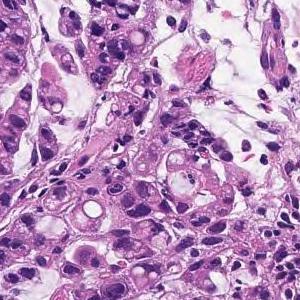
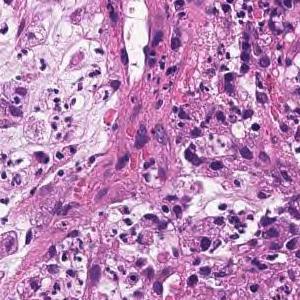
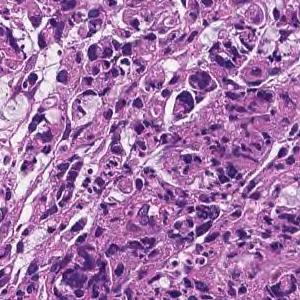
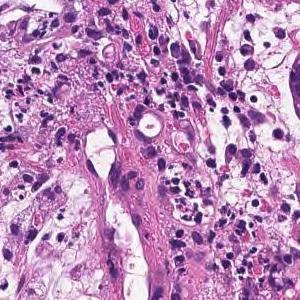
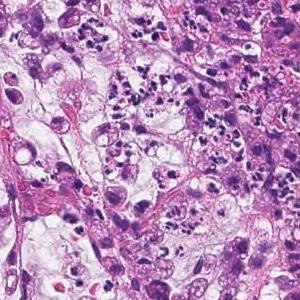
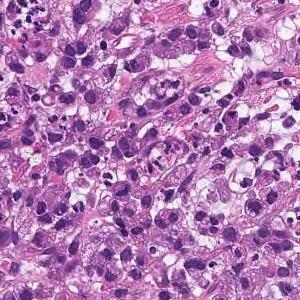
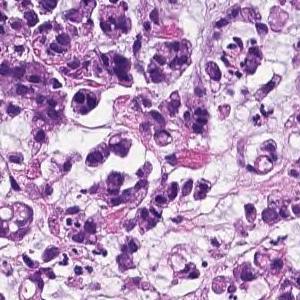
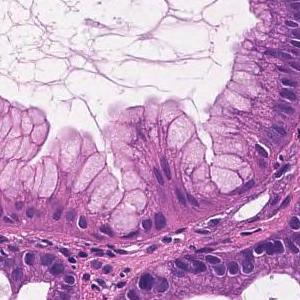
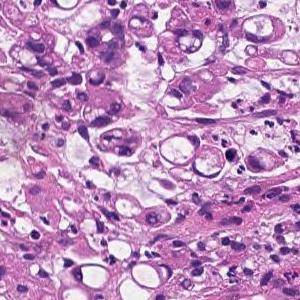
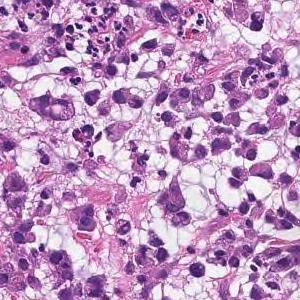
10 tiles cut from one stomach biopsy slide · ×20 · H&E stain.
The pathologist's report on the biopsy slide these tiles were taken from. The report and the diagnosis cover the entire slide, so not every feature they name need be visible here, and some tissue shown may not be tumor.
Tumor tissue consisting of cord-like or small, irregular glandular ducts fused and infiltrated is observed in the superficial epithelium. Poorly differentiated adenocarcinoma, non-solid type
"Non-solid type" is a category of the Japanese Classification of Gastric Carcinoma.
